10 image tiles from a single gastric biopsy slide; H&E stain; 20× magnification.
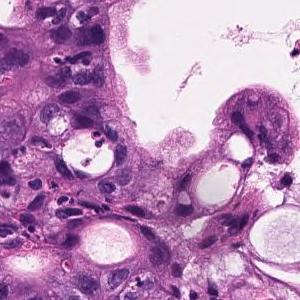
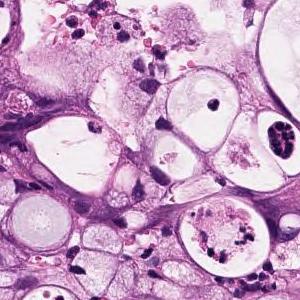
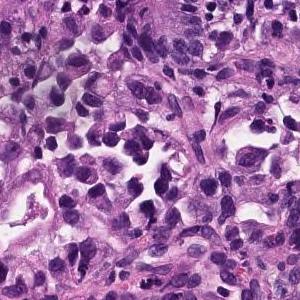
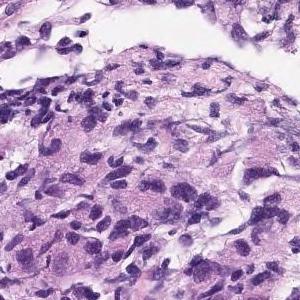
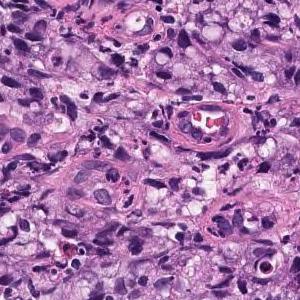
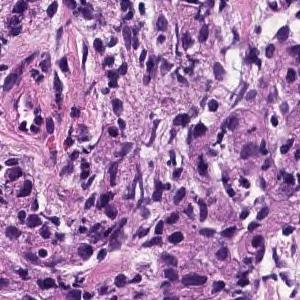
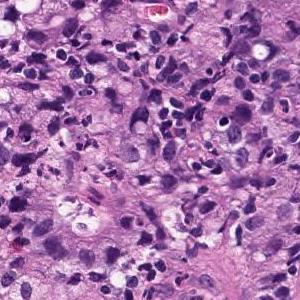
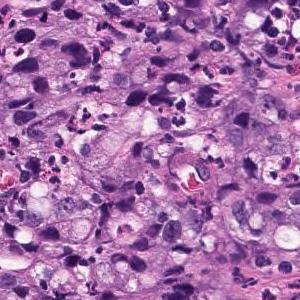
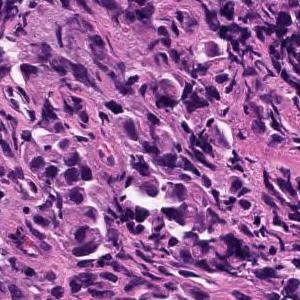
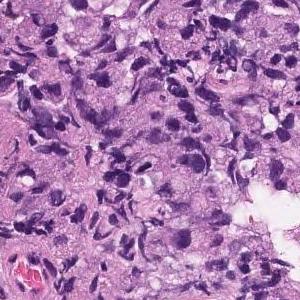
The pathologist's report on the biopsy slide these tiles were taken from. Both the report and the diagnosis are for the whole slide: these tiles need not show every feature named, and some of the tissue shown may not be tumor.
Atypical epithelium forms irregularly fused gland ducts and proliferates. Poorly differentiated adenocarcinoma.
Classified as poorly differentiated adenocarcinoma, non-solid type.
The non-solid type named here is a Japanese Classification of Gastric Carcinoma category.
